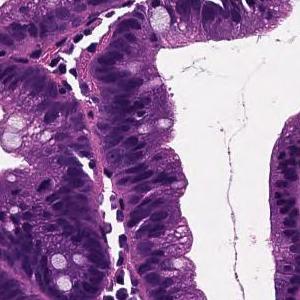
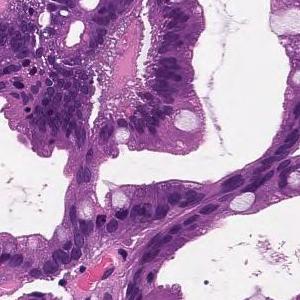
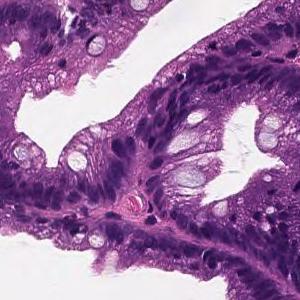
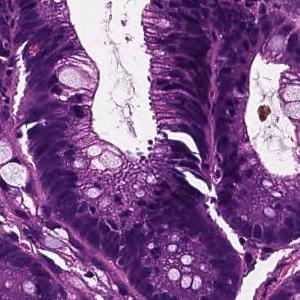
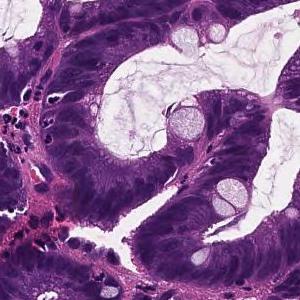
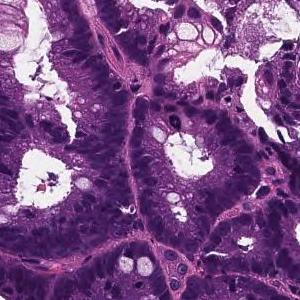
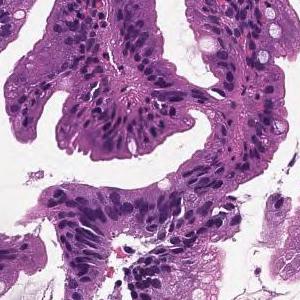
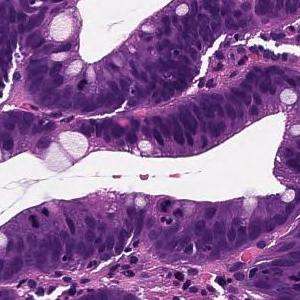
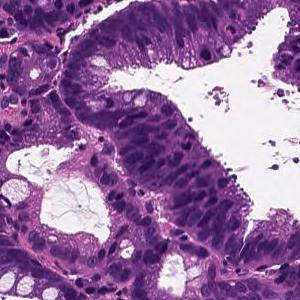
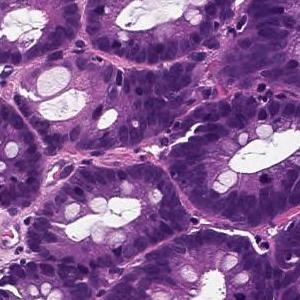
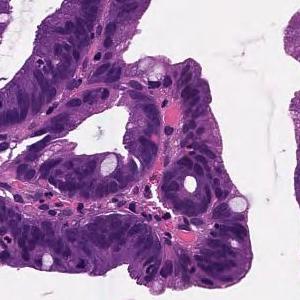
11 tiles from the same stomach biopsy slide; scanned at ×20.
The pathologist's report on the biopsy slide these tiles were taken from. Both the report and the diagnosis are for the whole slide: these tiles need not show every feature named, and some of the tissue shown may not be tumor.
moderately differentiated tubular adenocarcinoma infiltrates in the submucosa massively.
Subtype: Moderately differentiated tubular adenocarcinoma.
